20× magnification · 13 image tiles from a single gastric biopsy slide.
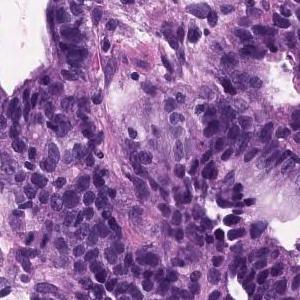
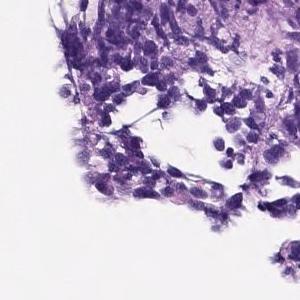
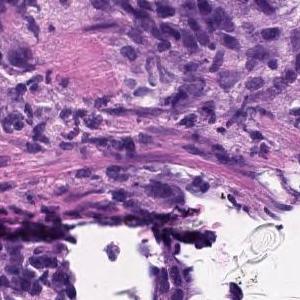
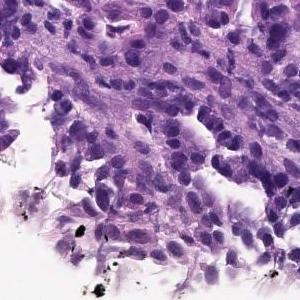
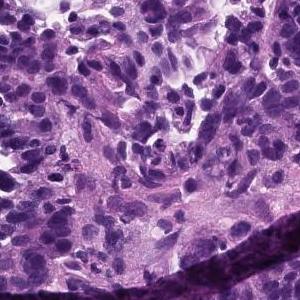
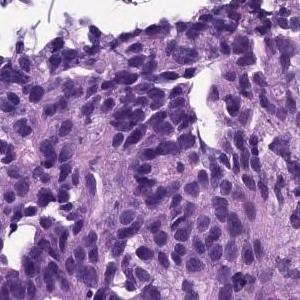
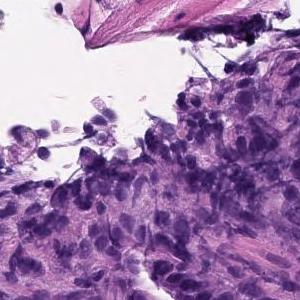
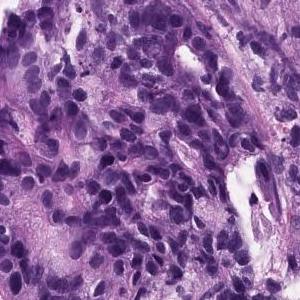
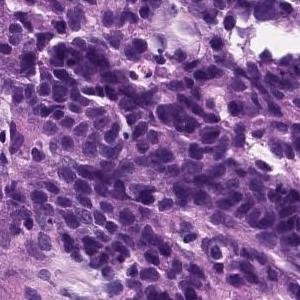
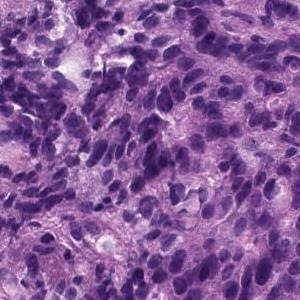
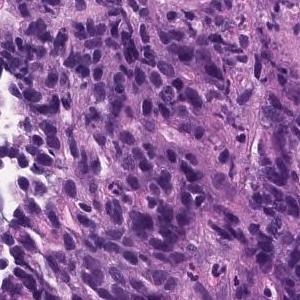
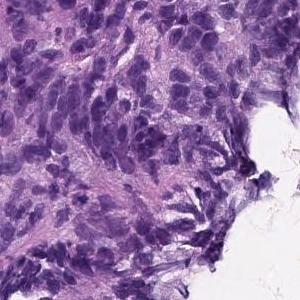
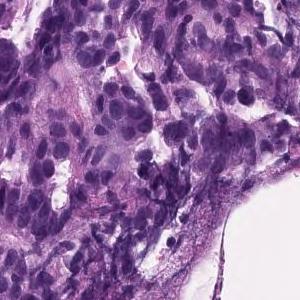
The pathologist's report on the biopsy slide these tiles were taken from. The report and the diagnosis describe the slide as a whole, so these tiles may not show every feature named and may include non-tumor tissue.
Group 5, Adenocarcinoma. Poorly differentiated adenocarcinoma, non-solid type
The non-solid type named here is a Japanese Classification of Gastric Carcinoma category.
